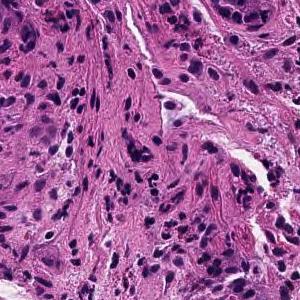
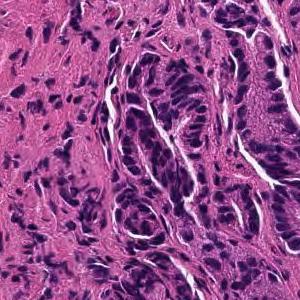
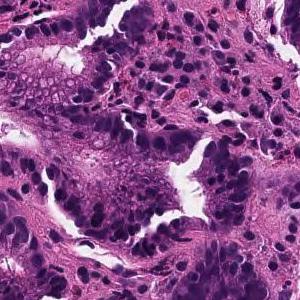
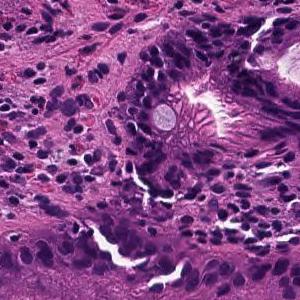
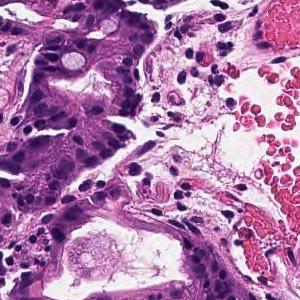
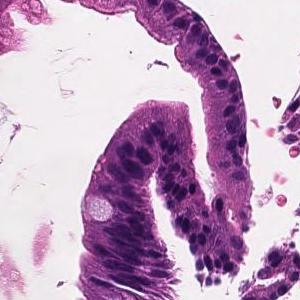
20× magnification · 6 tiles cut from one stomach biopsy slide.
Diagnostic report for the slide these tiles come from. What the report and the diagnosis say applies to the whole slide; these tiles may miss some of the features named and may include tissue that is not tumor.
From the superficial epithelium to the muscularis mucosae, tumor tissue consisting of medium-sized and irregular glandular ducts infiltrating is observed. Well differentiated tubular adenocarcinoma
